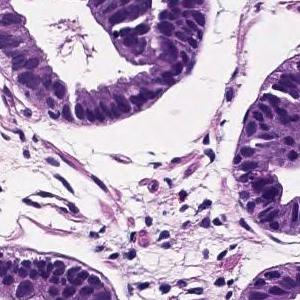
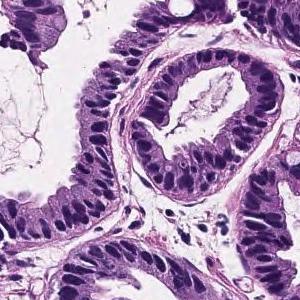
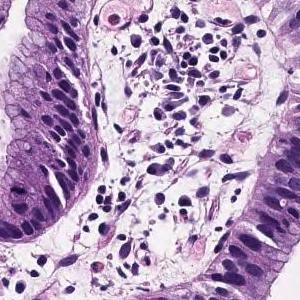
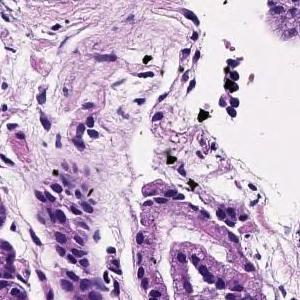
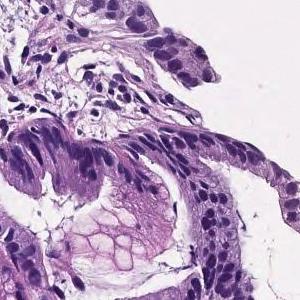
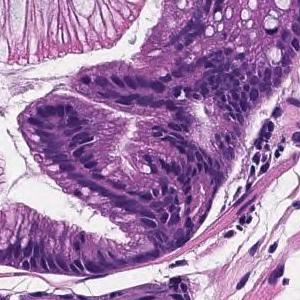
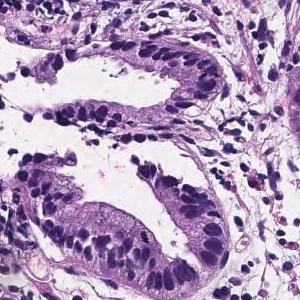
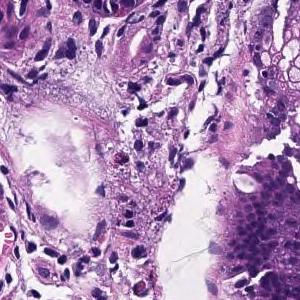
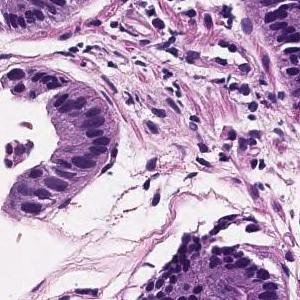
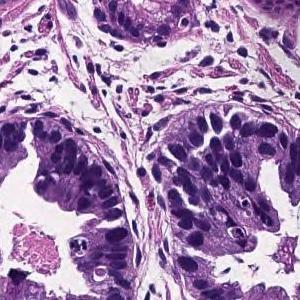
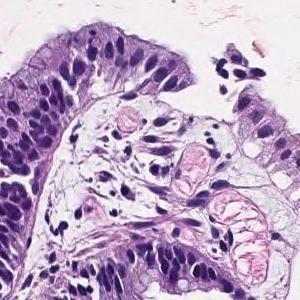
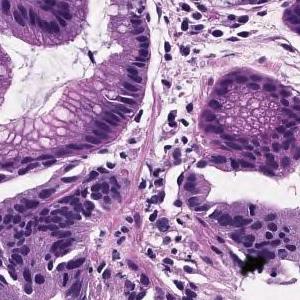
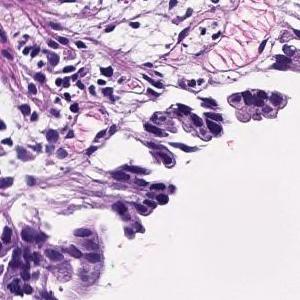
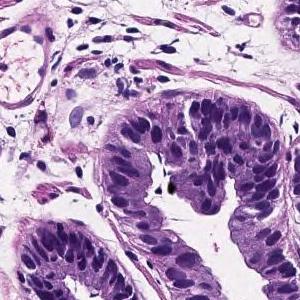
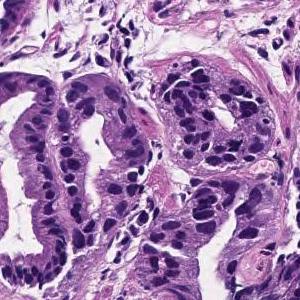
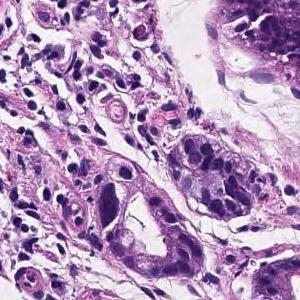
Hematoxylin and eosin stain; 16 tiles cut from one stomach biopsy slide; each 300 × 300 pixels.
Pathology report for the biopsy slide these tiles were cut from. Both the report and the diagnosis are for the whole slide: these tiles need not show every feature named, and some of the tissue shown may not be tumor.
Tumor cells are large, highly columnar, large club-shaped nuclei, and are associated with chromatin aggregation. Papillary adenocarcinoma.
